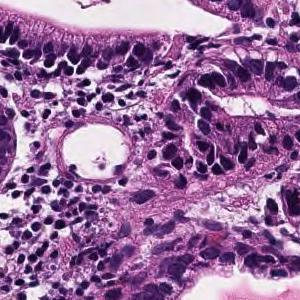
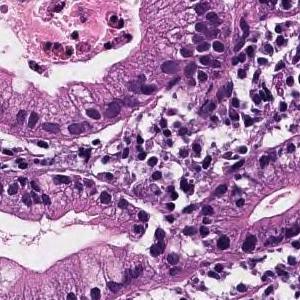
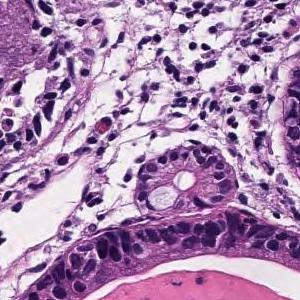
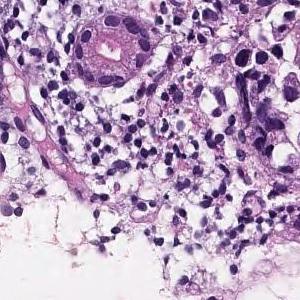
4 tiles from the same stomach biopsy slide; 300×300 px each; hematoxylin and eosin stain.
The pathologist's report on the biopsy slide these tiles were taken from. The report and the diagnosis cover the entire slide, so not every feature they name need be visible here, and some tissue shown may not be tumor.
From the superficial epithelium to the muscularis mucosae, tumor tissue consisting of medium-sized and irregular glandular ducts infiltrating is observed. Well differentiated tubular adenocarcinoma
